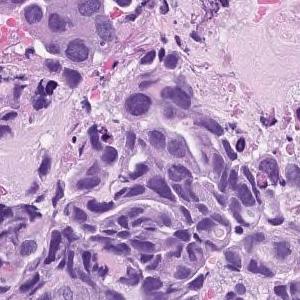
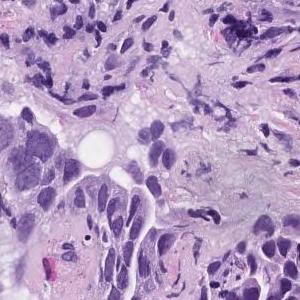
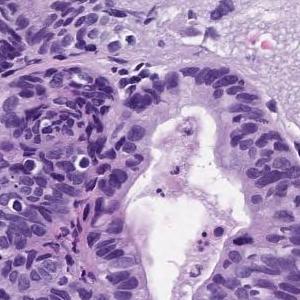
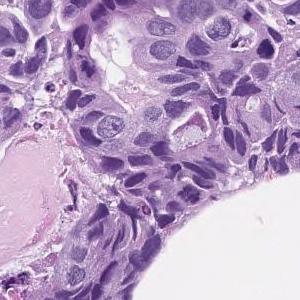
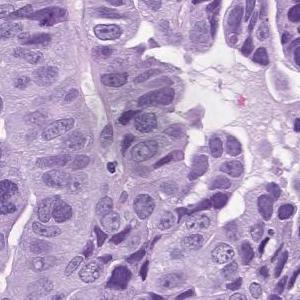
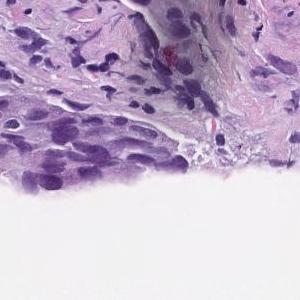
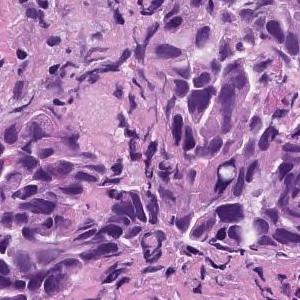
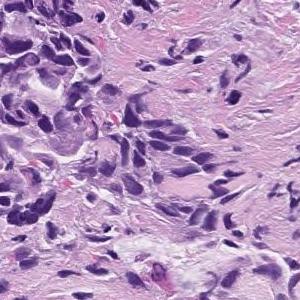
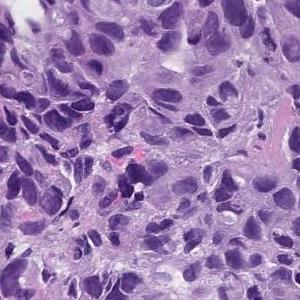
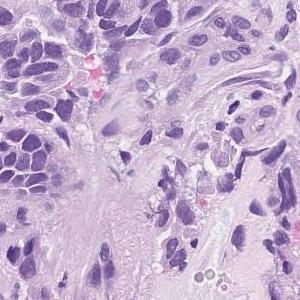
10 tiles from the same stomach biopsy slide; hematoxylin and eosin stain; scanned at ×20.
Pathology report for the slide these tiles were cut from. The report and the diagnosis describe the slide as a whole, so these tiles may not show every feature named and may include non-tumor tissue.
In the superficial epithelium, tumor tissue that invades by forming medium-sized to small, irregular ducts is observed. moderately differentiated tubular adenocarcinoma.
